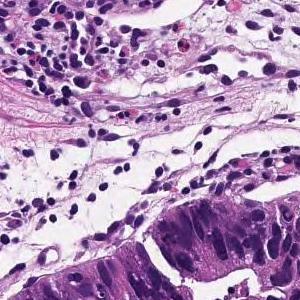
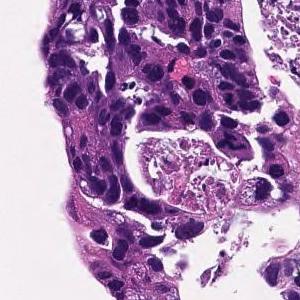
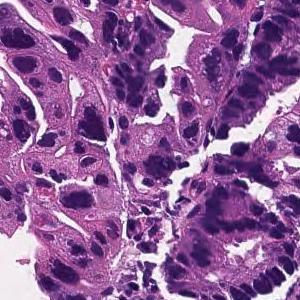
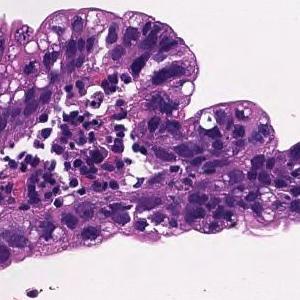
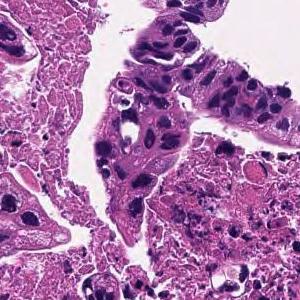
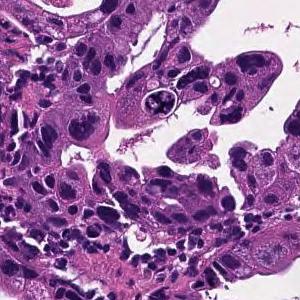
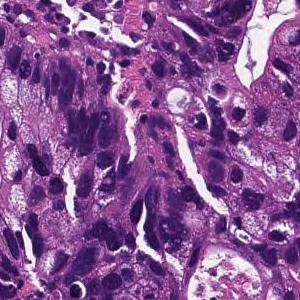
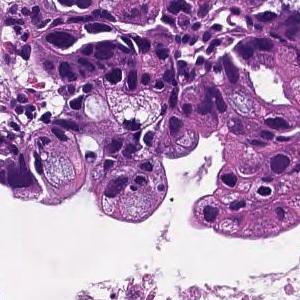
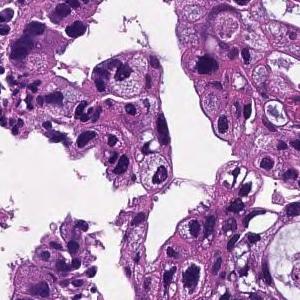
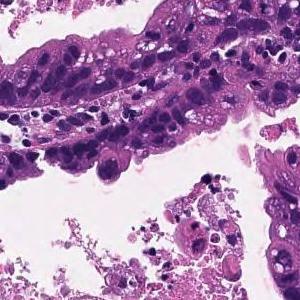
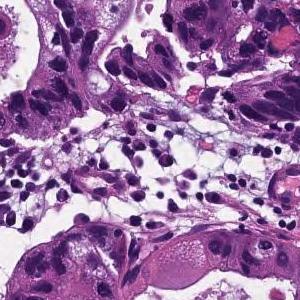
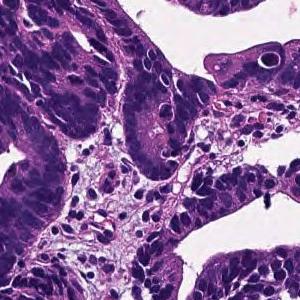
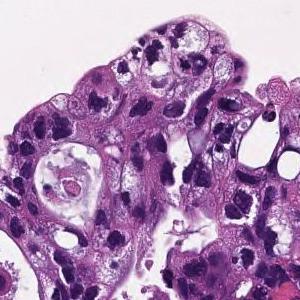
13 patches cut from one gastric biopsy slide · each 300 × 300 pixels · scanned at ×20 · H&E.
The pathologist's report on the biopsy slide these tiles were taken from. The report and the diagnosis cover the entire slide, so not every feature they name need be visible here, and some tissue shown may not be tumor.
In the superficial epithelium, tumor tissue that invades by forming medium-sized to small, irregular ducts is observed. moderately differentiated tubular adenocarcinoma.
